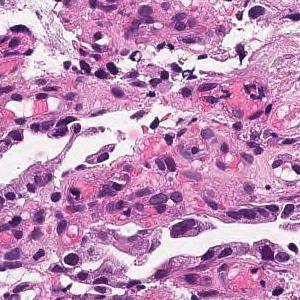
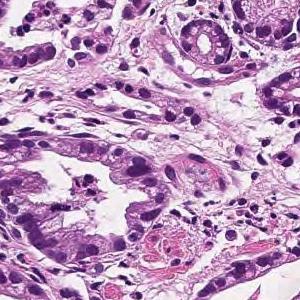
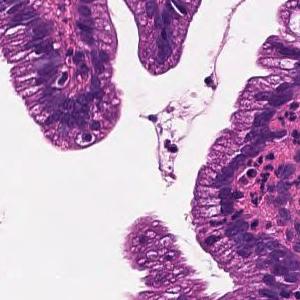
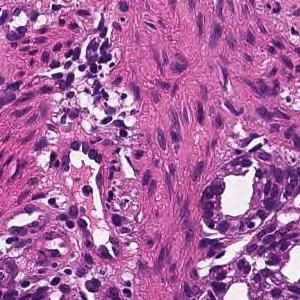
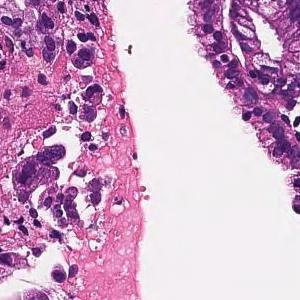
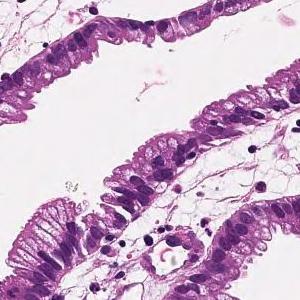
H&E; scanned at ×20; 6 image tiles from a single gastric biopsy slide.
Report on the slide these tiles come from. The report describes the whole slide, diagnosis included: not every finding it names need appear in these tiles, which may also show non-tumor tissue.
On the superficial epithelium, tumor tissue that infiltrates by forming medium-sized papillary or small irregular ducts is observed. Papillary adenocarcinoma
